Scanned at ×20, hematoxylin and eosin stain, 14 patches cut from one gastric biopsy slide, 300×300 px each.
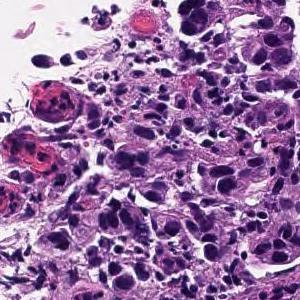
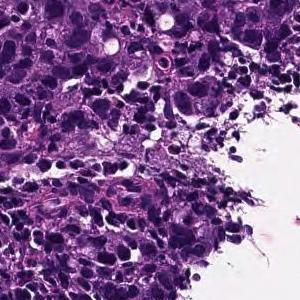
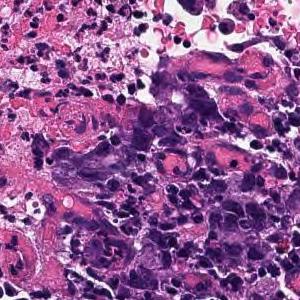
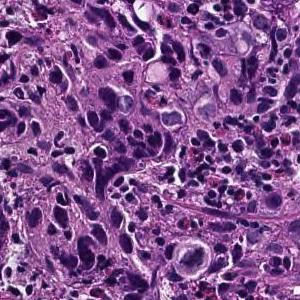
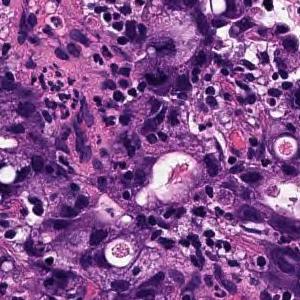
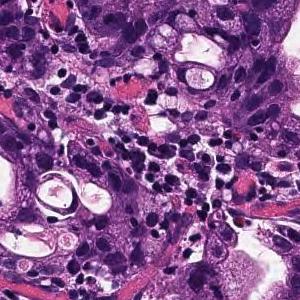
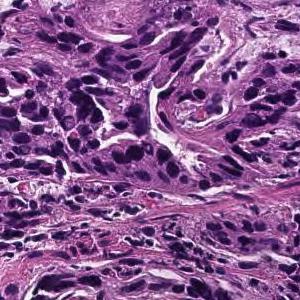
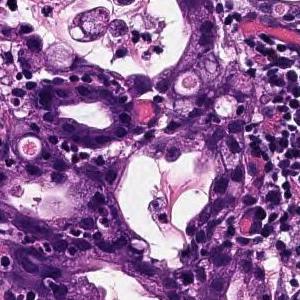
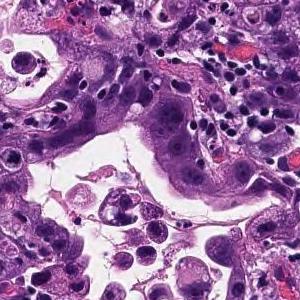
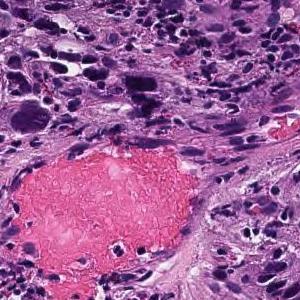
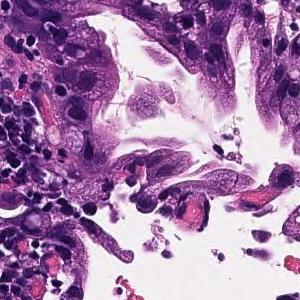
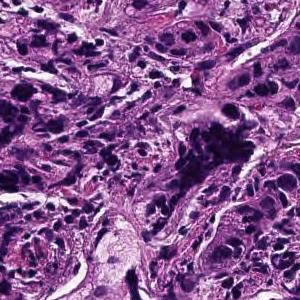
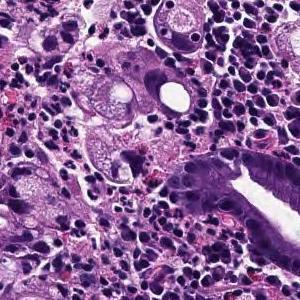
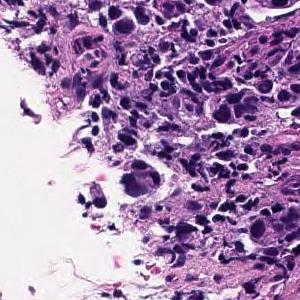
Pathology report for the biopsy slide these tiles were cut from. The report and the diagnosis cover the entire slide, so not every feature they name need be visible here, and some tissue shown may not be tumor.
Tumor tissue consisting of medium-sized, cord-like or irregular glandular infiltration is observed in the superficial epithelium. Poorly differentiated adenocarcinoma, non-solid type or moderately differentiated tubular adenocarcinoma
Subtype: Moderately to poorly differentiated adenocarcinoma.
"Non-solid type" is a category of the Japanese Classification of Gastric Carcinoma.
